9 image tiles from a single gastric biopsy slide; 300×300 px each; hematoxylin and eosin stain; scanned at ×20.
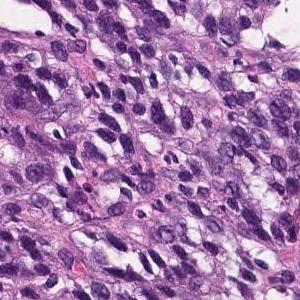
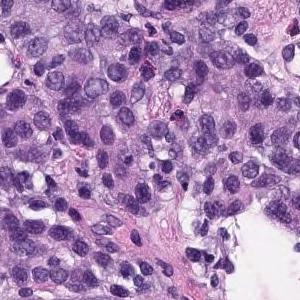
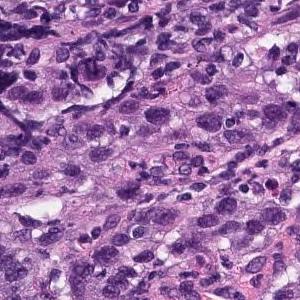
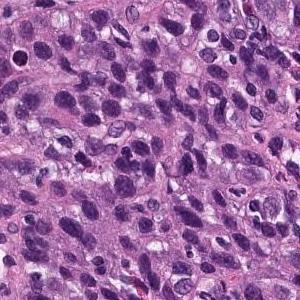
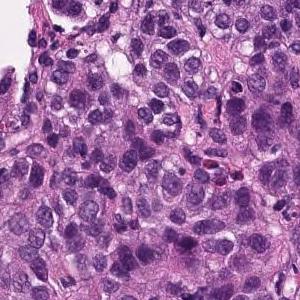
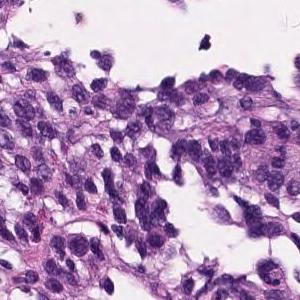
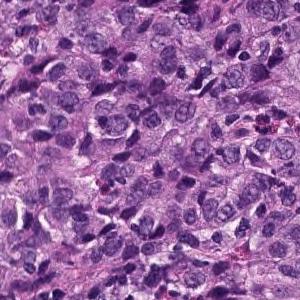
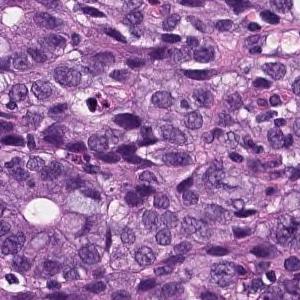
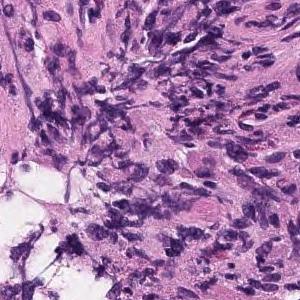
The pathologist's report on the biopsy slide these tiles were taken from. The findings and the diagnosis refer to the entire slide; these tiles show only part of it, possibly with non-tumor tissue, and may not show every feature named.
In the superficial epithelium, tumor tissue that invades by forming medium-sized to small, irregular ducts is observed. Moderately differentiated adenocarcinoma.
Histologic type: Moderately differentiated tubular adenocarcinoma.
